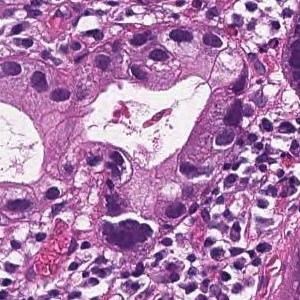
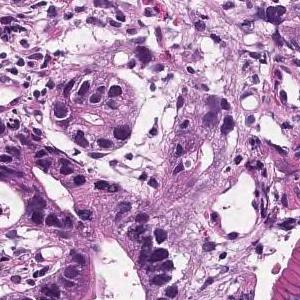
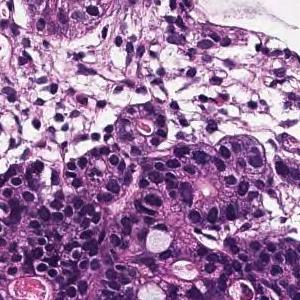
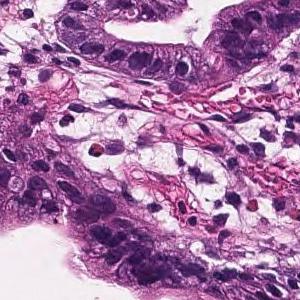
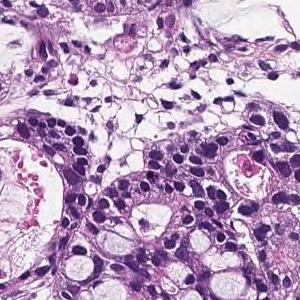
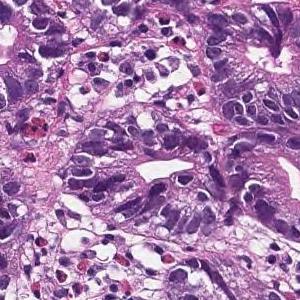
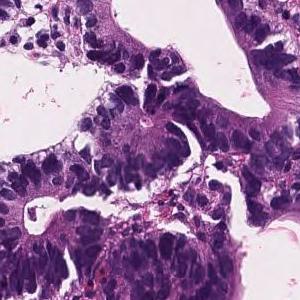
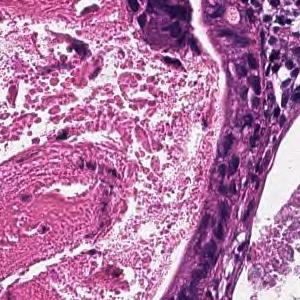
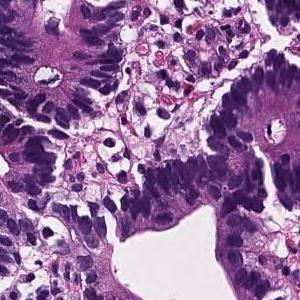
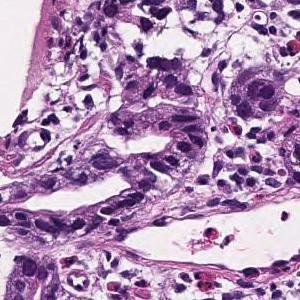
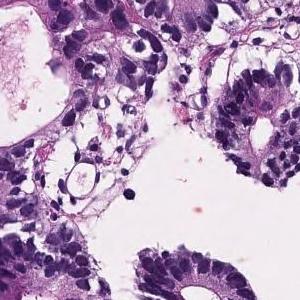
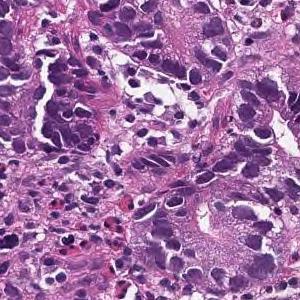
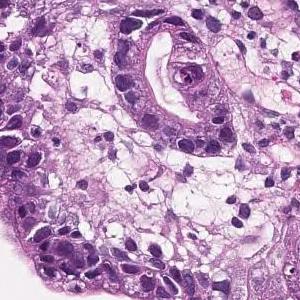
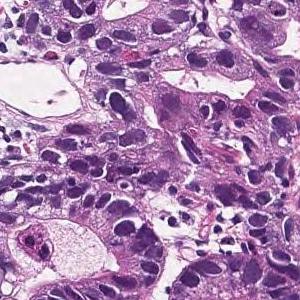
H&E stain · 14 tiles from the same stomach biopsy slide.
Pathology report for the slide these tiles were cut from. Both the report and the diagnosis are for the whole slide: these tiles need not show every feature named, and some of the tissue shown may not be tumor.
On the superficial epithelium, tumor tissue consisting of large, irregular glandular ducts partially fused and infiltrated is observed. Well to moderately differentiated tubular adenocarcinoma (well differentiated tubular adenocarcinoma, moderately differentiated tubular adenocarcinoma)
Histologic type: Well to moderately differentiated tubular adenocarcinoma.
